8 tiles cut from one stomach biopsy slide; 300 × 300 pixels each; scanned at ×20; hematoxylin and eosin stain.
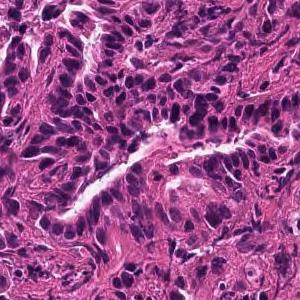
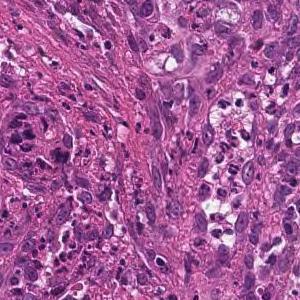
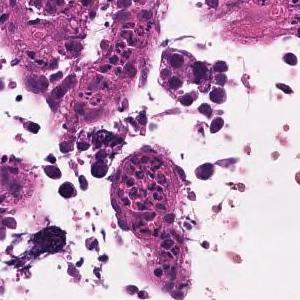
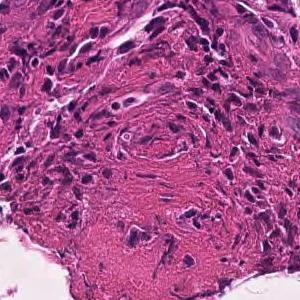
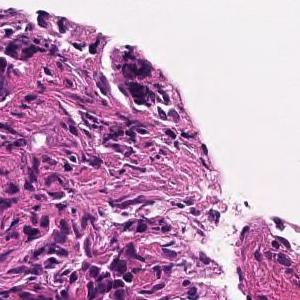
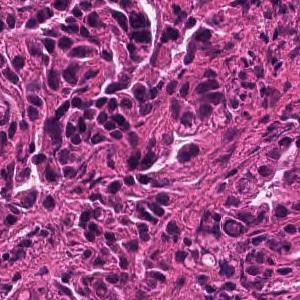
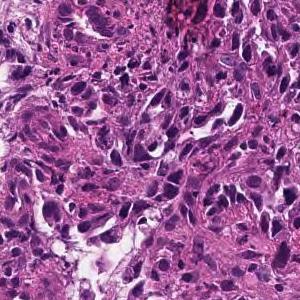
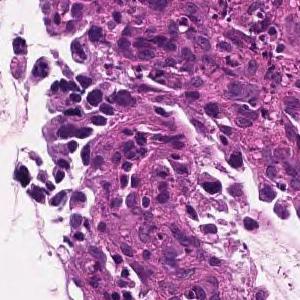
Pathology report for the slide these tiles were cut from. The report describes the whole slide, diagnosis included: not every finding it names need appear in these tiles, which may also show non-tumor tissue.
In the superficial epithelium, tumor tissue that invades by forming medium-sized to small, irregular ducts is observed. moderately differentiated tubular adenocarcinoma.
